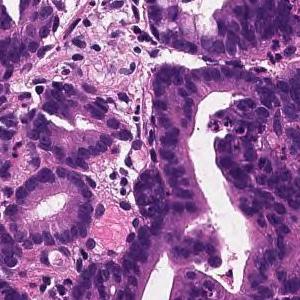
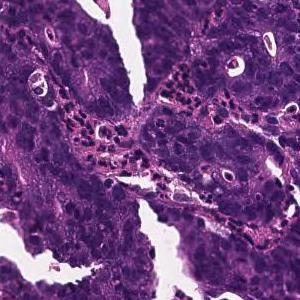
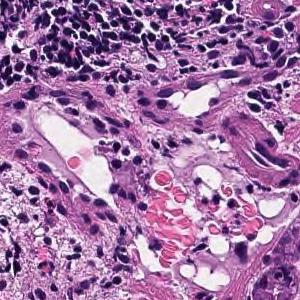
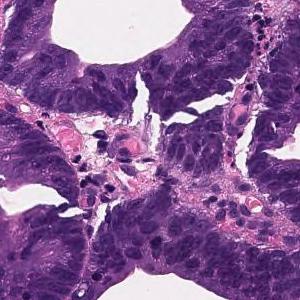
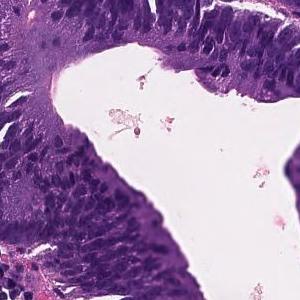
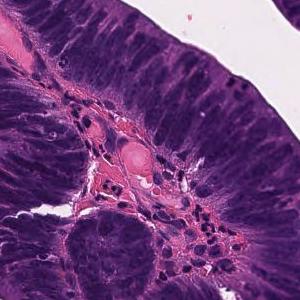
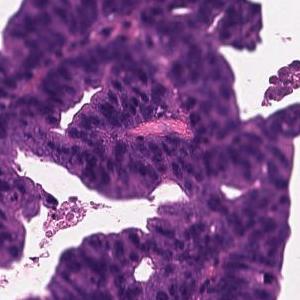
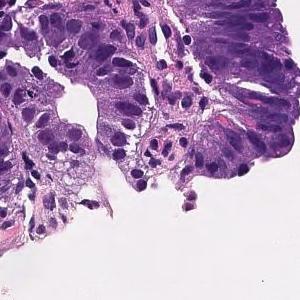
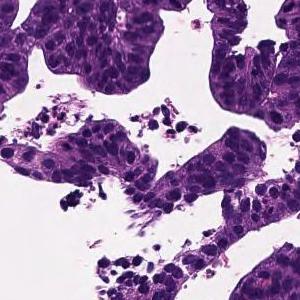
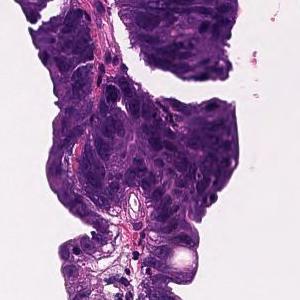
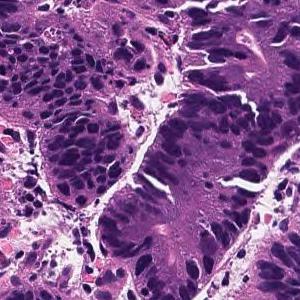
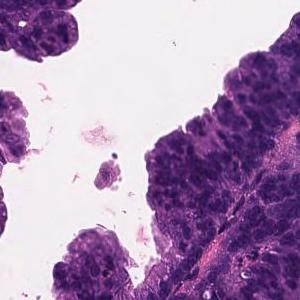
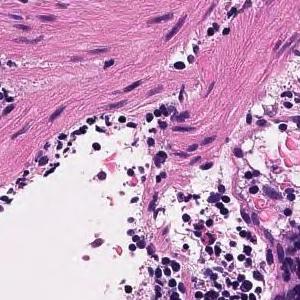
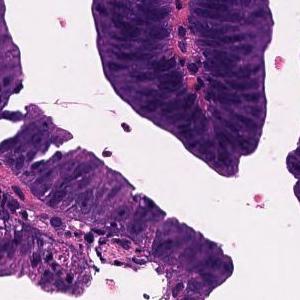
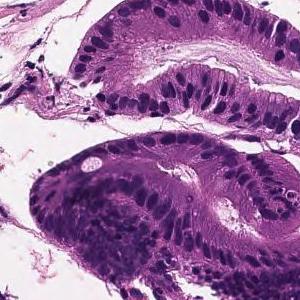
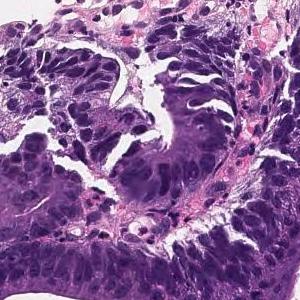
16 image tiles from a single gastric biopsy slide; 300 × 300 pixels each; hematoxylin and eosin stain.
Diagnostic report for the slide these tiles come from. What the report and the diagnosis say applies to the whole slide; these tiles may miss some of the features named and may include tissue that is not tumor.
Tumor tissue consisting of large papillary structures is found in the superficial epithelium. Papillary adenocarcinoma.
